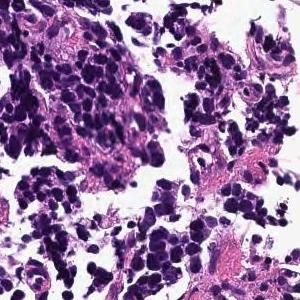
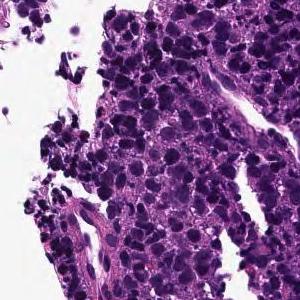
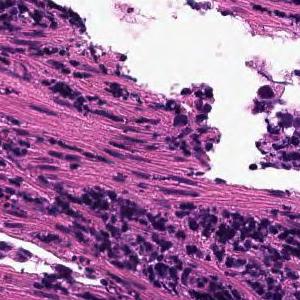
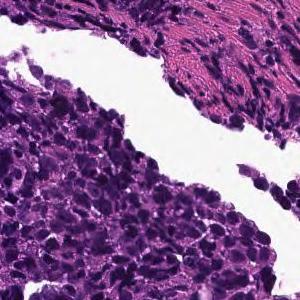
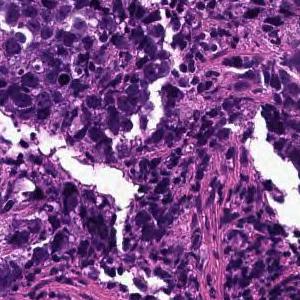
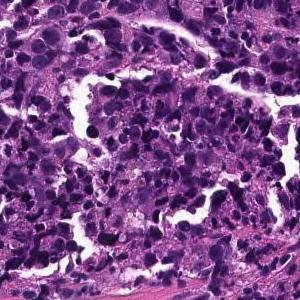
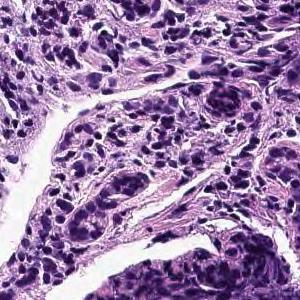
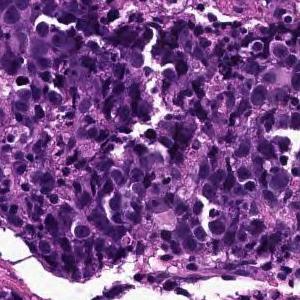
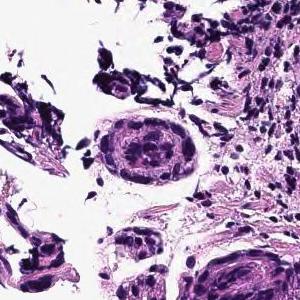
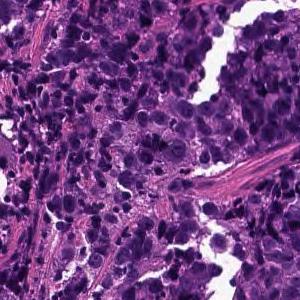
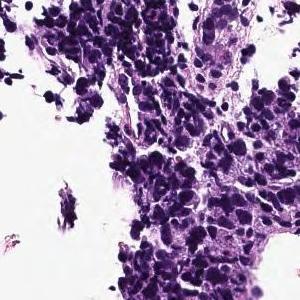
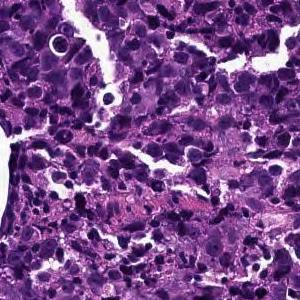
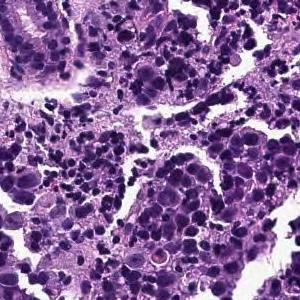
13 tiles cut from one stomach biopsy slide; H&E stain; scanned at ×20.
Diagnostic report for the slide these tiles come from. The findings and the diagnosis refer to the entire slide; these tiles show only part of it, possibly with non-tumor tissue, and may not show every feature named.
The superficial epithelium shows large alveolar or sheet-like forms, and some tumor tissue infiltrates with small irregular ducts. Poorly differentiated adenocarcinoma, solid-type
Histologic type: Poorly differentiated adenocarcinoma, solid type (Japanese Classification of Gastric Carcinoma). The WHO 2019 equivalent is tubular adenocarcinoma, poorly differentiated.
